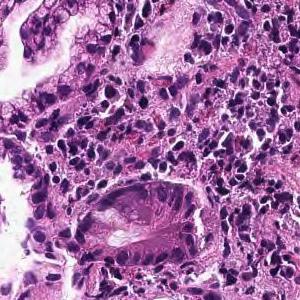
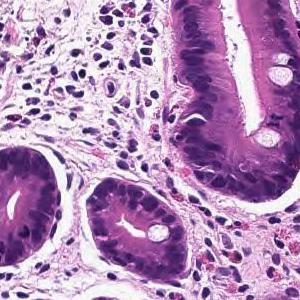
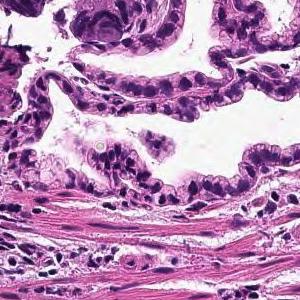
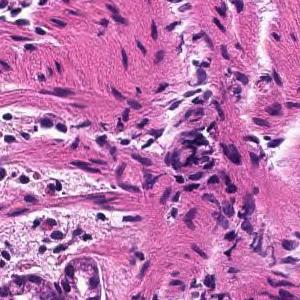
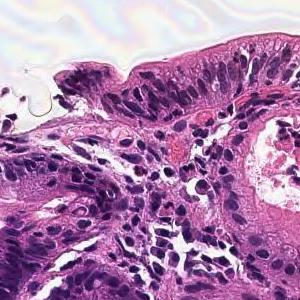
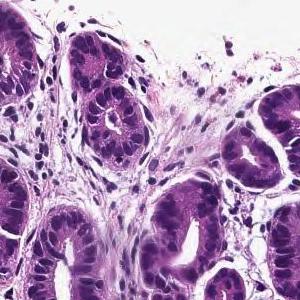
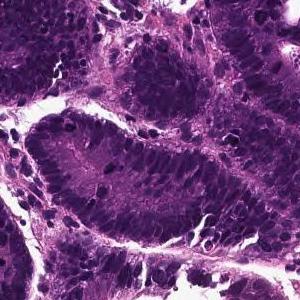
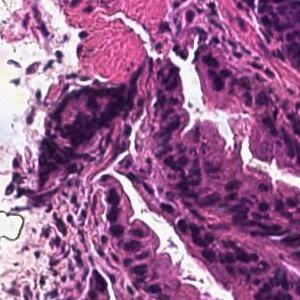
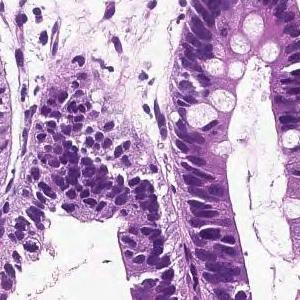
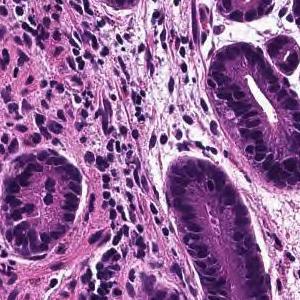
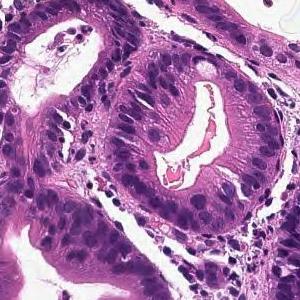
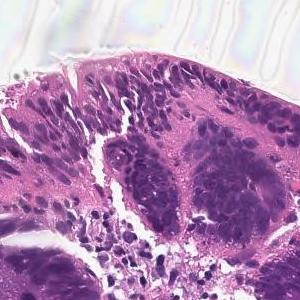
H&E; 12 tiles cut from one stomach biopsy slide; 300×300 px each.
Report on the slide these tiles come from. What the report and the diagnosis say applies to the whole slide; these tiles may miss some of the features named and may include tissue that is not tumor.
From the superficial epithelium to the muscularis mucosae, tumor tissue consisting of medium-sized and irregular glandular ducts infiltrating is observed. Well differentiated tubular adenocarcinoma
